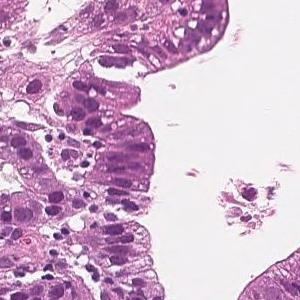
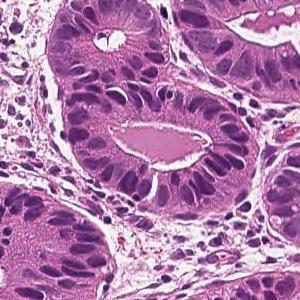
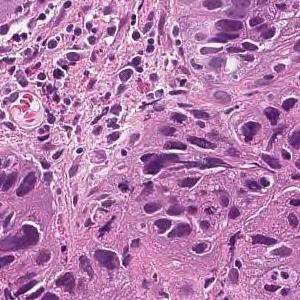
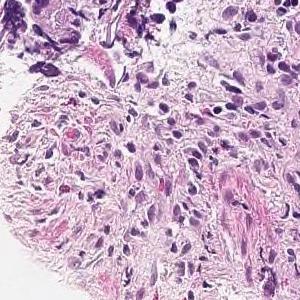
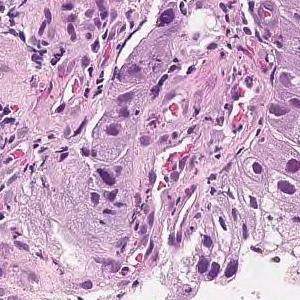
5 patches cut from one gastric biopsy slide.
The pathologist's report on the biopsy slide these tiles were taken from. The report and the diagnosis describe the slide as a whole, so these tiles may not show every feature named and may include non-tumor tissue.
In the superficial epithelium, tumor tissue that invades by forming medium-sized to small, irregular ducts is observed. moderately differentiated tubular adenocarcinoma.
